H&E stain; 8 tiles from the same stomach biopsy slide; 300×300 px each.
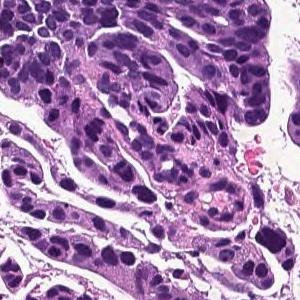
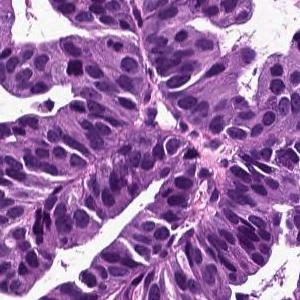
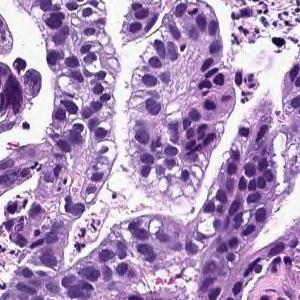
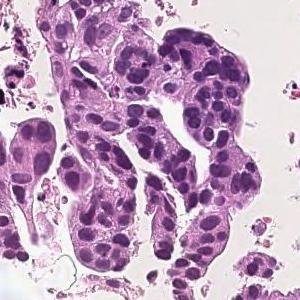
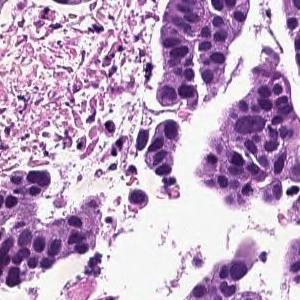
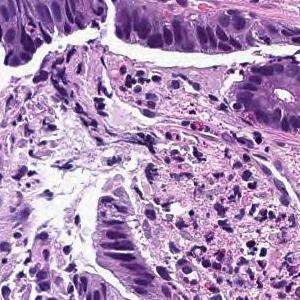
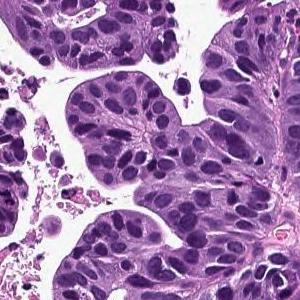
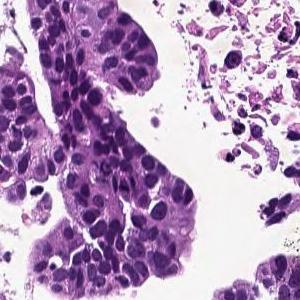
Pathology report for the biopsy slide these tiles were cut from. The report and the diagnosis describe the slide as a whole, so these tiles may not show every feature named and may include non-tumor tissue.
Tumor cells are large, highly columnar, large club-shaped nuclei, and are associated with chromatin aggregation. Papillary adenocarcinoma.
